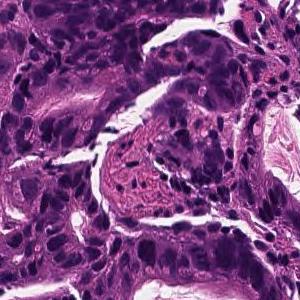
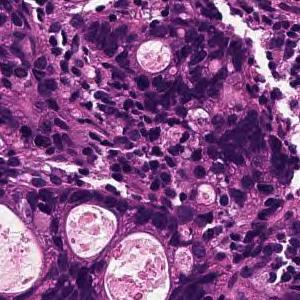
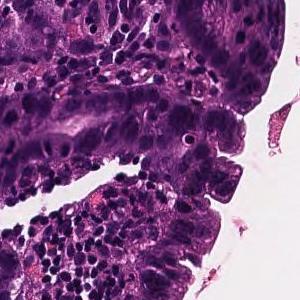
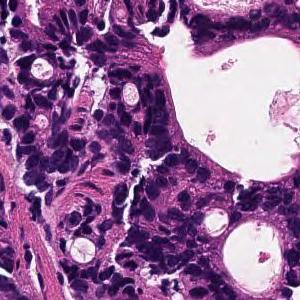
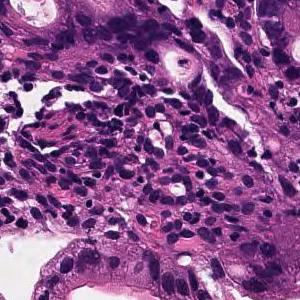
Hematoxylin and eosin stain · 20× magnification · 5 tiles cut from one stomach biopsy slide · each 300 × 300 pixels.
Report on the slide these tiles come from. The report and the diagnosis cover the entire slide, so not every feature they name need be visible here, and some tissue shown may not be tumor.
In the superficial epithelium, tumor tissue that invades by forming medium-sized to small, irregular ducts is observed. moderately differentiated tubular adenocarcinoma.
